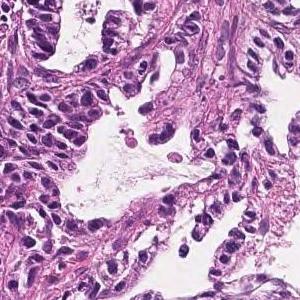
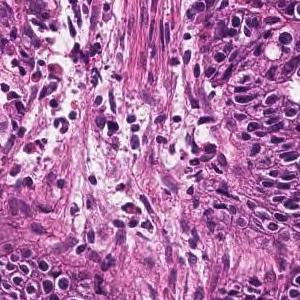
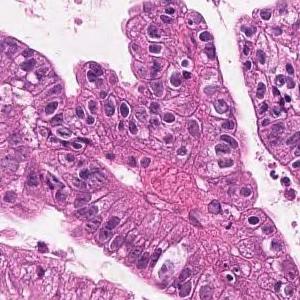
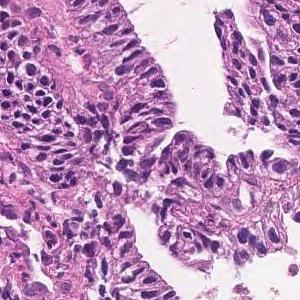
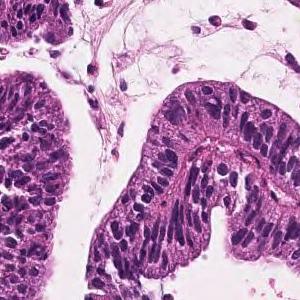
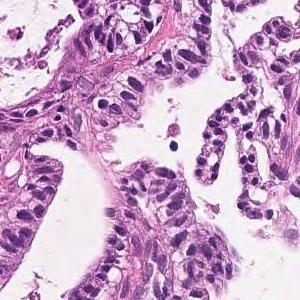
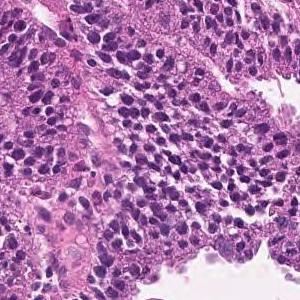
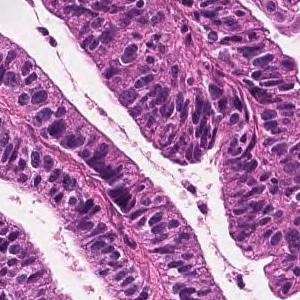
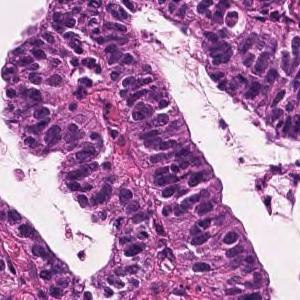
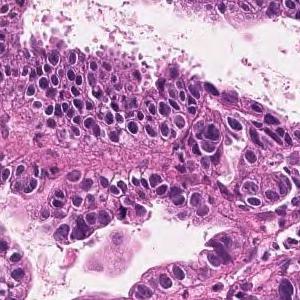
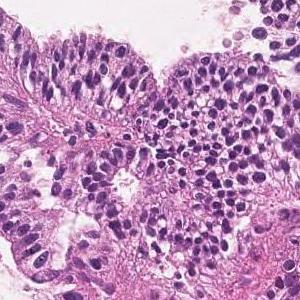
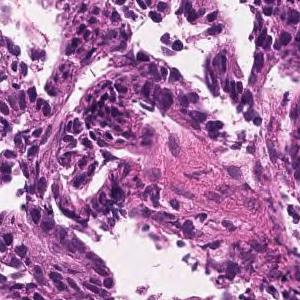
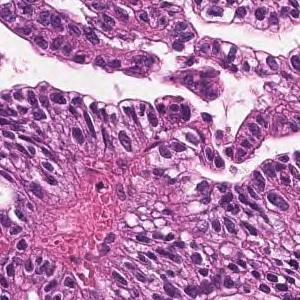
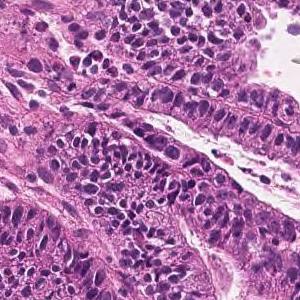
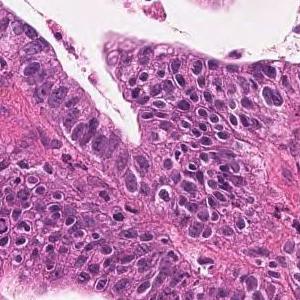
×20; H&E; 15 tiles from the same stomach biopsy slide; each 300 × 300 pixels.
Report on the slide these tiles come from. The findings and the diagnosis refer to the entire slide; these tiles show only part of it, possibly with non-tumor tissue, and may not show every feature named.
Tumor cells are large, highly columnar, large club-shaped nuclei, and are associated with chromatin aggregation. Papillary adenocarcinoma.
